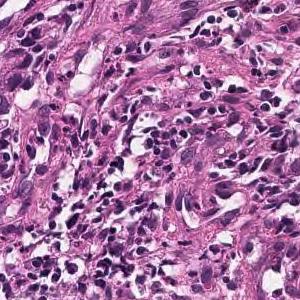
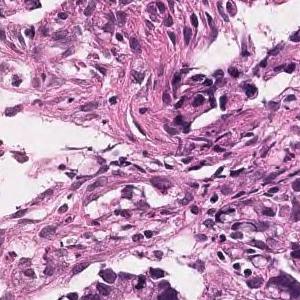
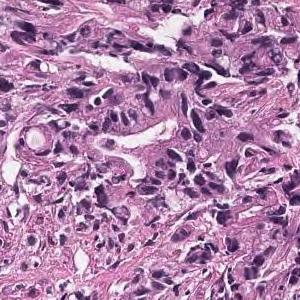
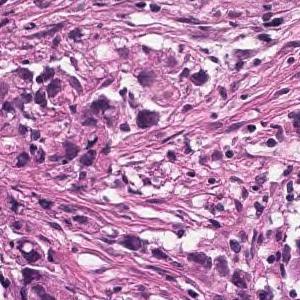
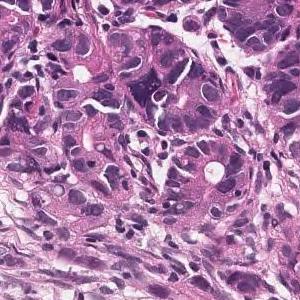
Hematoxylin and eosin stain; scanned at ×20; 5 patches cut from one gastric biopsy slide; 300 × 300 pixels each.
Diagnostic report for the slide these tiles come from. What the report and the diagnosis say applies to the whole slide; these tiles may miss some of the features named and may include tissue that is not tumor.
In the superficial epithelium, tumor tissue is found in which medium-sized irregular gland ducts fuse with each other and infiltrate. moderately differentiated tubular adenocarcinoma
